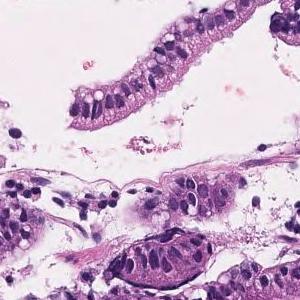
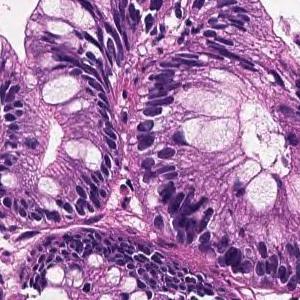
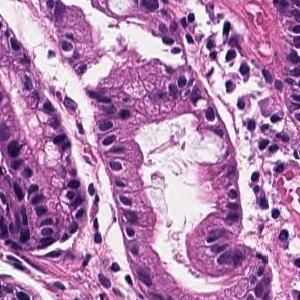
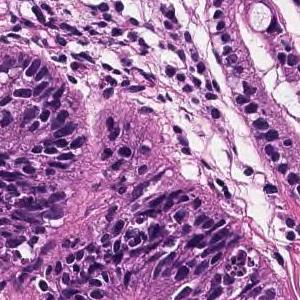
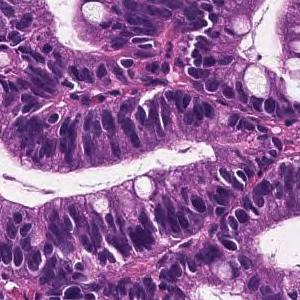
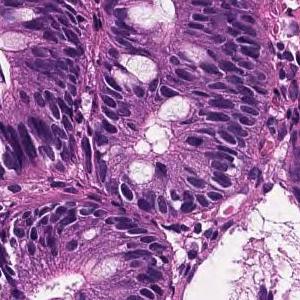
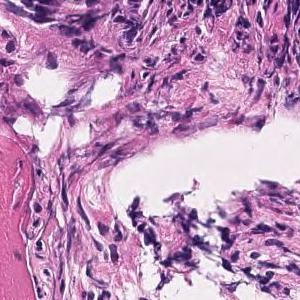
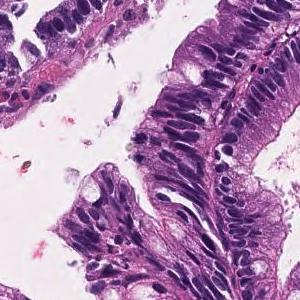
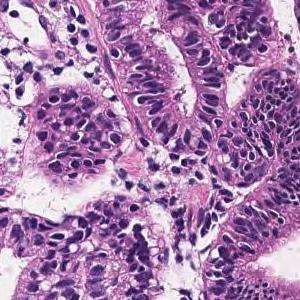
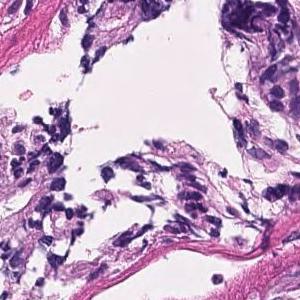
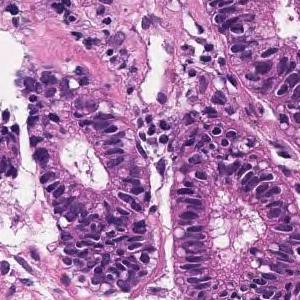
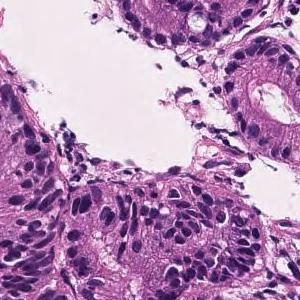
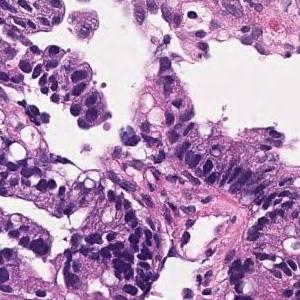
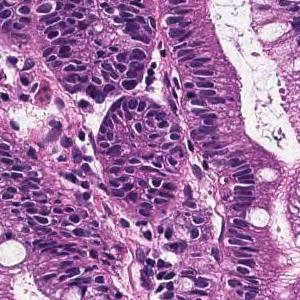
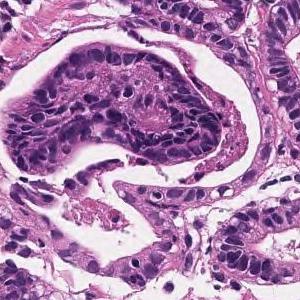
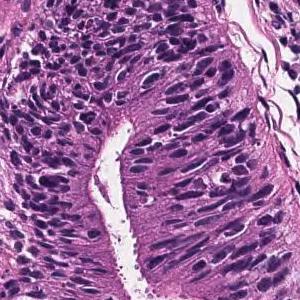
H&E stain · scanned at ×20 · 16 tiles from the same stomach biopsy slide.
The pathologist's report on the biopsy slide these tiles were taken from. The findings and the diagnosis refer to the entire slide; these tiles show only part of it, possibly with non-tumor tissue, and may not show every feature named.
Most remain in the superficial epithelium, forming medium-sized papillary or small irregular ducts and proliferating, and some tumor tissue invades the muscularis mucosae. Papillary adenocarcinoma
